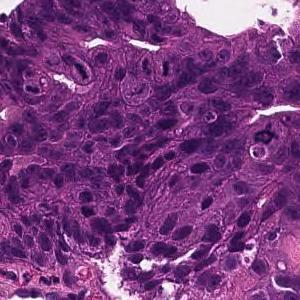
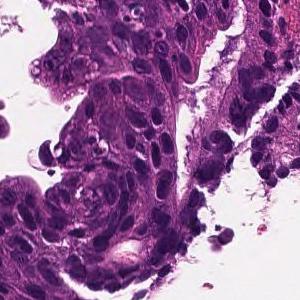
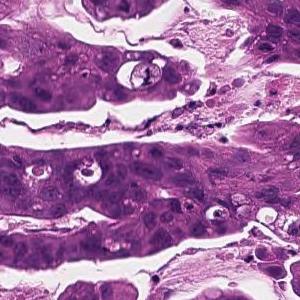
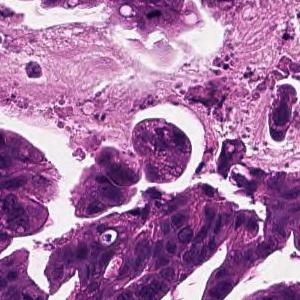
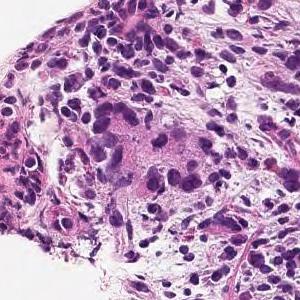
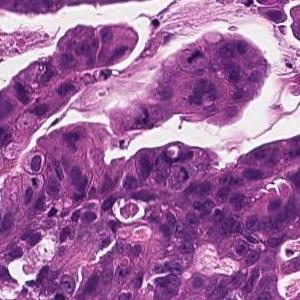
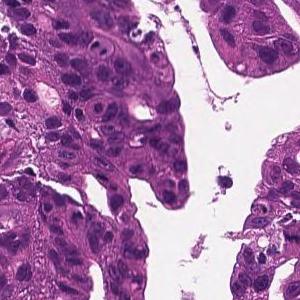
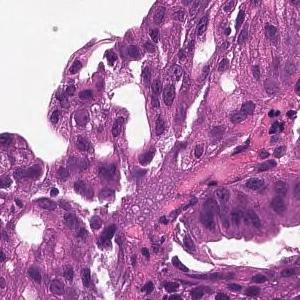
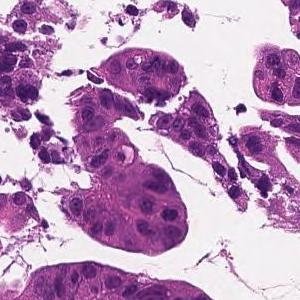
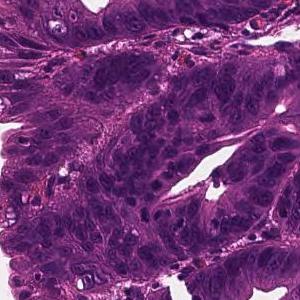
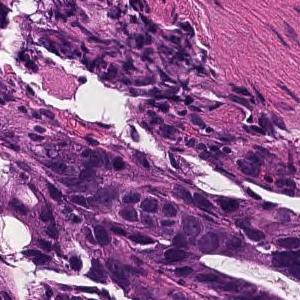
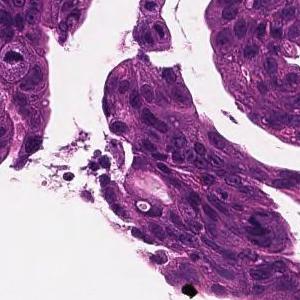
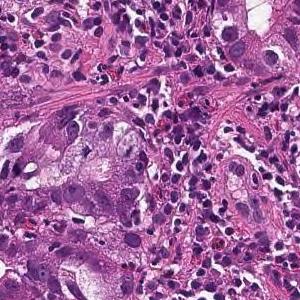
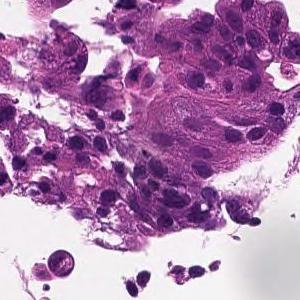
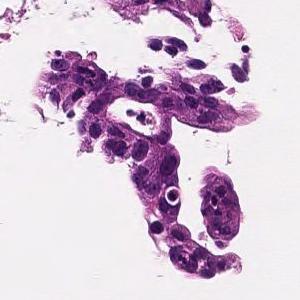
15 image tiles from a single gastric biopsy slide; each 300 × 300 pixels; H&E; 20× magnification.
The pathologist's report on the biopsy slide these tiles were taken from. The report and the diagnosis cover the entire slide, so not every feature they name need be visible here, and some tissue shown may not be tumor.
On the superficial epithelium, tumor tissue is found in which medium-sized irregular gland ducts fuse with each other and infiltrate. moderately differentiated tubular adenocarcinoma
